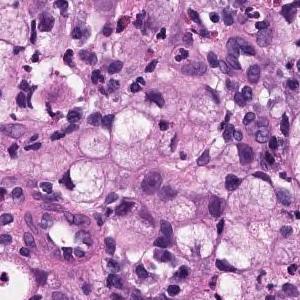
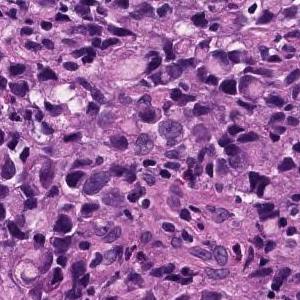
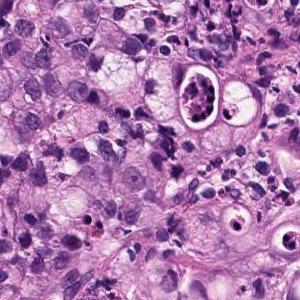
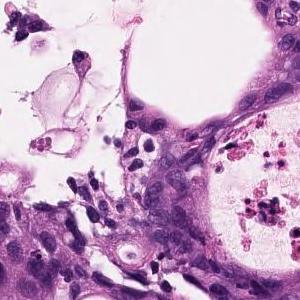
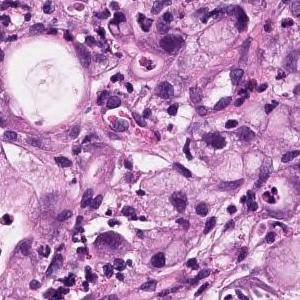
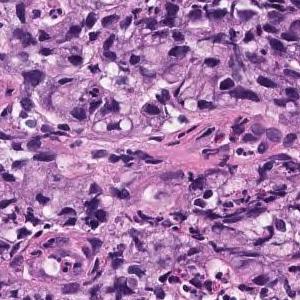
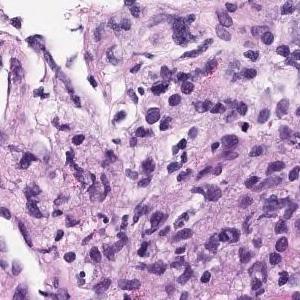
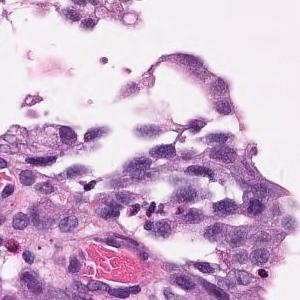
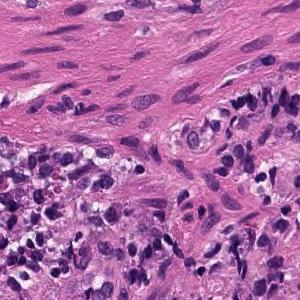
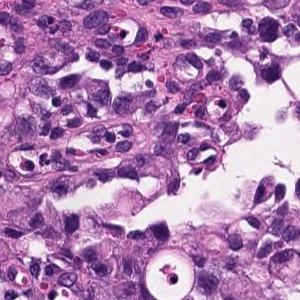
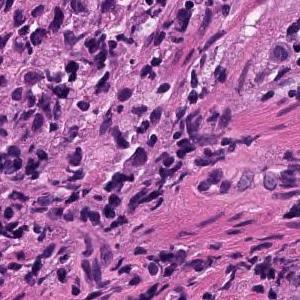
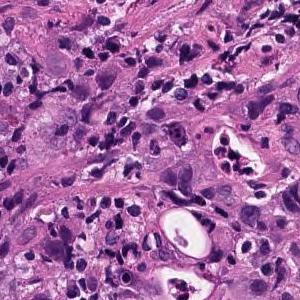
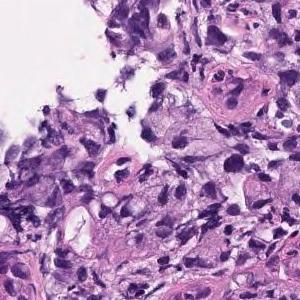
H&E, 20× magnification, 13 patches cut from one gastric biopsy slide, 300×300 px each.
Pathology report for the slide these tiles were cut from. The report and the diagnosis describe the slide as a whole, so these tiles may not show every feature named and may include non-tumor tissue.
Atypical epithelium forms irregularly fused gland ducts and proliferates. Poorly differentiated adenocarcinoma.
Tumor subtype: poorly differentiated adenocarcinoma, non-solid type.
"Non-solid type" is a category of the Japanese Classification of Gastric Carcinoma.
